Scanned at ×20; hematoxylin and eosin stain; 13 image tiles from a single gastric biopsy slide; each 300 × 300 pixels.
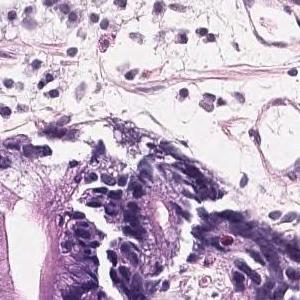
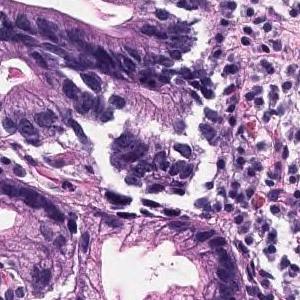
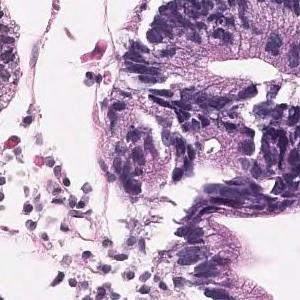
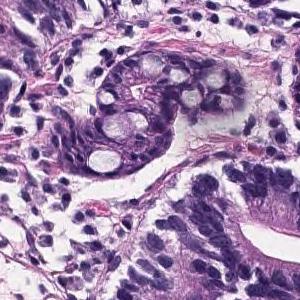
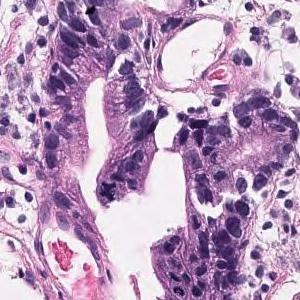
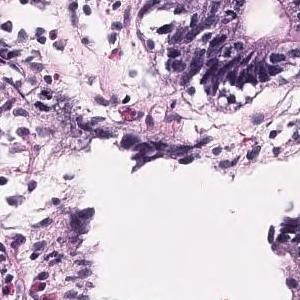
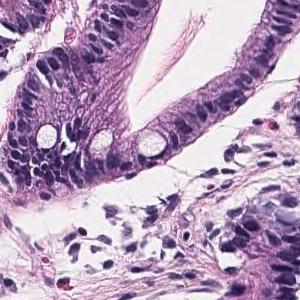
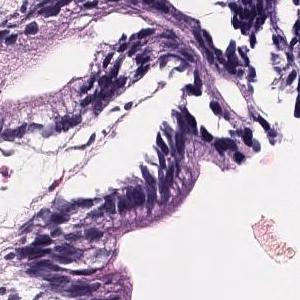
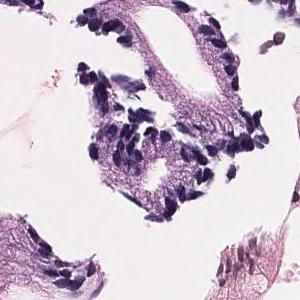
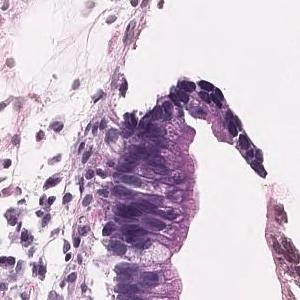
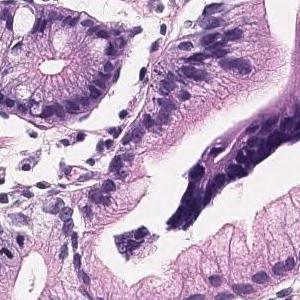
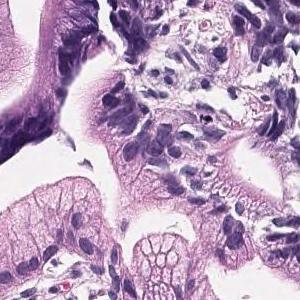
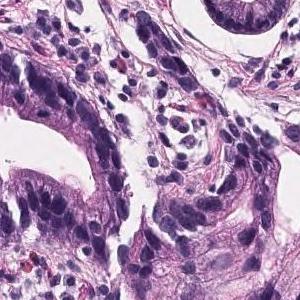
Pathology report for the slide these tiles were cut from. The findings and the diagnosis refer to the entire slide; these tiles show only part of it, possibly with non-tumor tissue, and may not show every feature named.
On the superficial epithelium, tumor tissue consisting of large, irregular glandular ducts partially fused and infiltrated is observed. Well differentiated tubular adenocarcinoma
